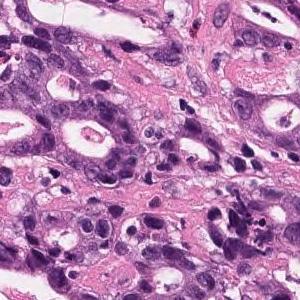
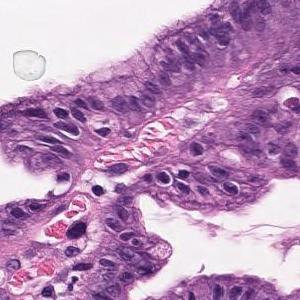
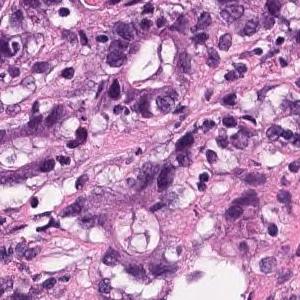
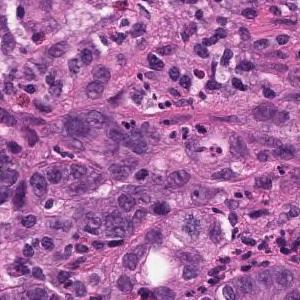
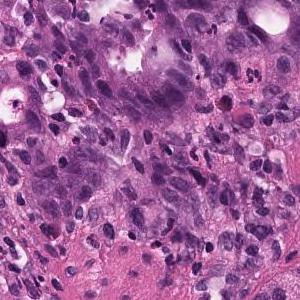
×20, H&E stain, 5 tiles cut from one stomach biopsy slide.
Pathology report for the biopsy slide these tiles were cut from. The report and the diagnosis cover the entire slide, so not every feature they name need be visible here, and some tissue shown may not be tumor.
Atypical ducts proliferating with obscure duct construction and solid sequences is observed. Moderately to poorly differentiated adenocarcinoma.
